H&E stain, 14 tiles from the same stomach biopsy slide, 300×300 px each.
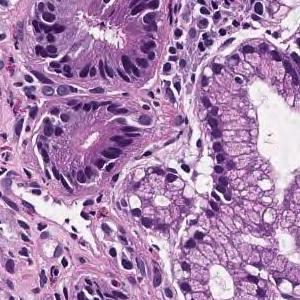
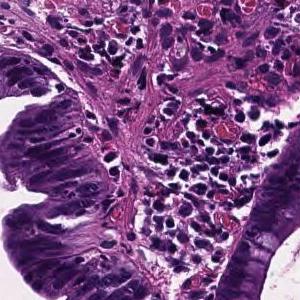
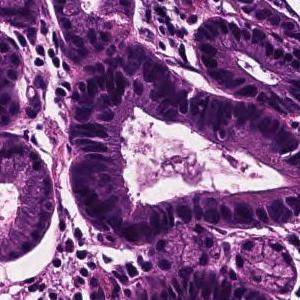
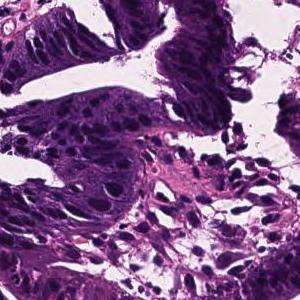
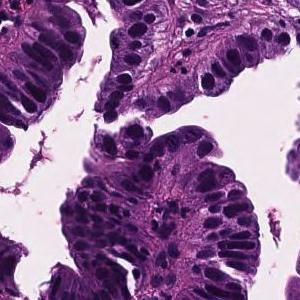
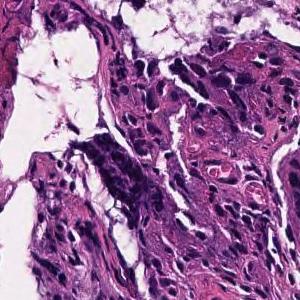
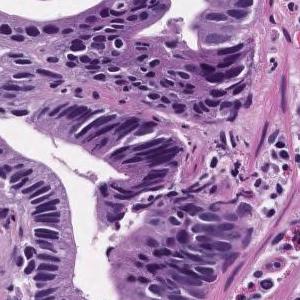
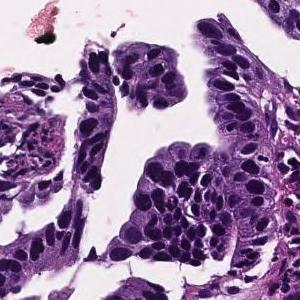
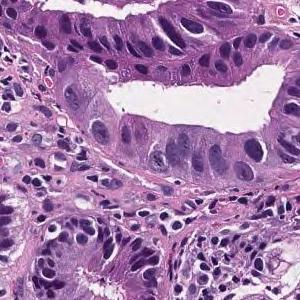
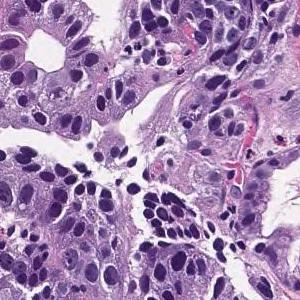
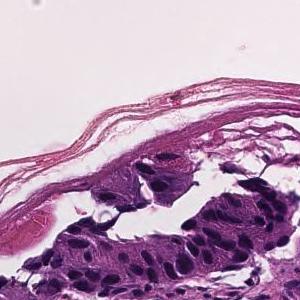
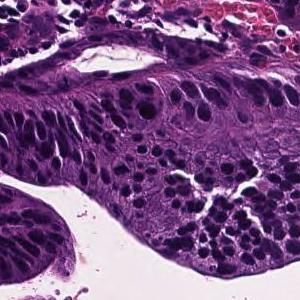
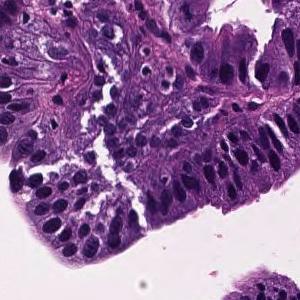
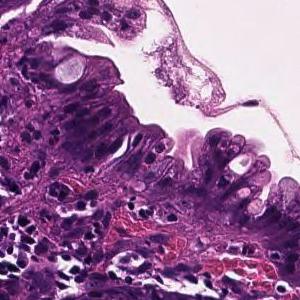
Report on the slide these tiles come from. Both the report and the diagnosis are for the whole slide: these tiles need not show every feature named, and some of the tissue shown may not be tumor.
Tumor cells are large, highly columnar, large club-shaped nuclei, and are associated with chromatin aggregation. Papillary adenocarcinoma.
